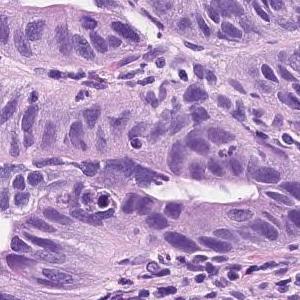
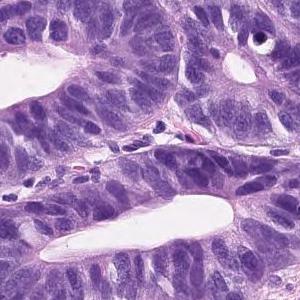
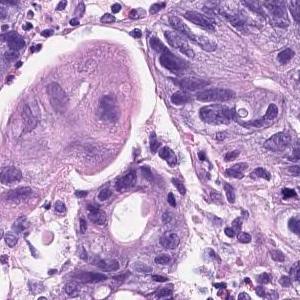
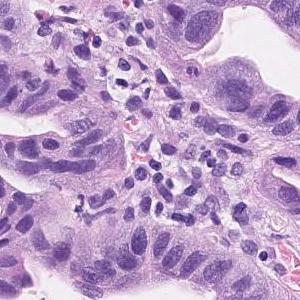
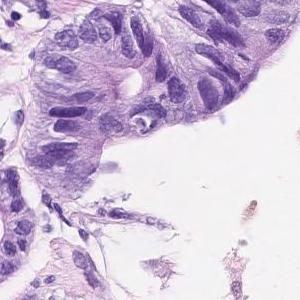
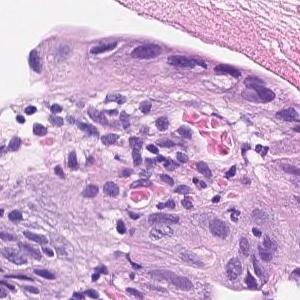
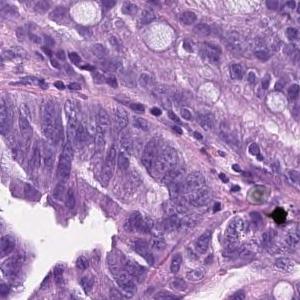
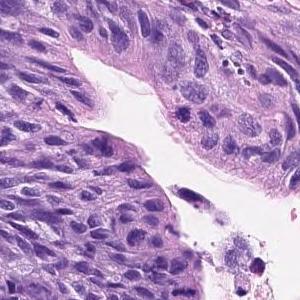
8 tiles from the same stomach biopsy slide · hematoxylin and eosin stain · 20× magnification.
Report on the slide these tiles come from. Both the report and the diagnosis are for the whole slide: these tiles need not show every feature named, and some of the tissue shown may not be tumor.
Tumor tissue consisting of medium-sized and irregular ducts is observed infiltrating in the superficial epithelium. Tumor cells are highly columnar, with nuclei aligned basolaterally and polarized. Well differentiated tubular adenocarcinoma.
